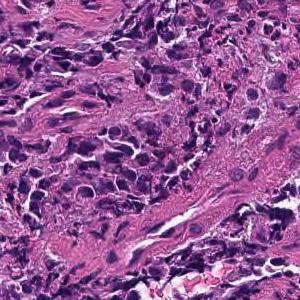
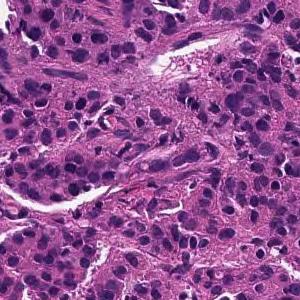
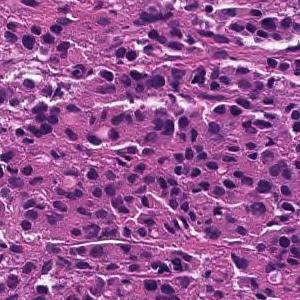
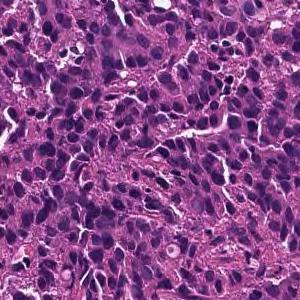
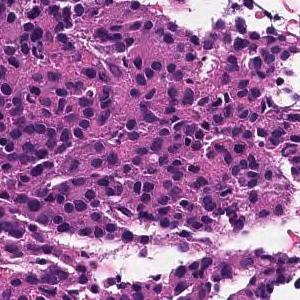
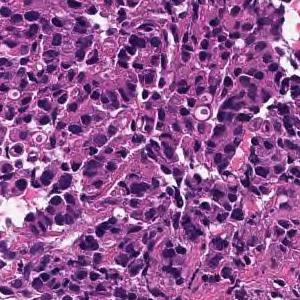
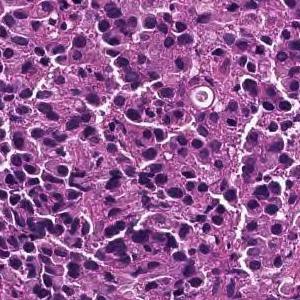
7 tiles cut from one stomach biopsy slide · ×20 · H&E.
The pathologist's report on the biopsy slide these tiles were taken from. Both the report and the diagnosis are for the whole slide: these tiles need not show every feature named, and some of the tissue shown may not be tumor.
The superficial epithelium shows a large sheet-like shape, and some tumor tissue infiltrates with small irregular ducts. Poorly differentiated adenocarcinoma, solid-type
Tumor subtype: poorly differentiated adenocarcinoma, solid type (Japanese Classification of Gastric Carcinoma). The WHO 2019 equivalent is tubular adenocarcinoma, poorly differentiated.
